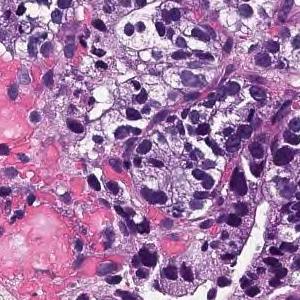
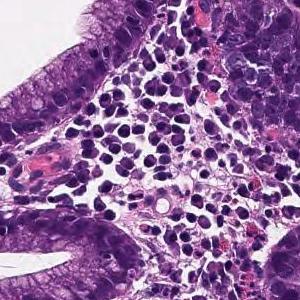
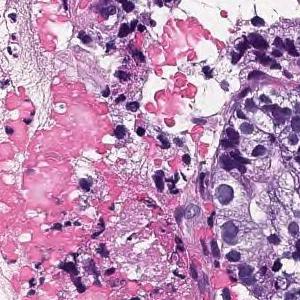
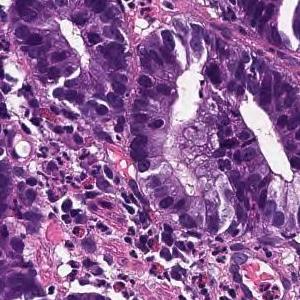
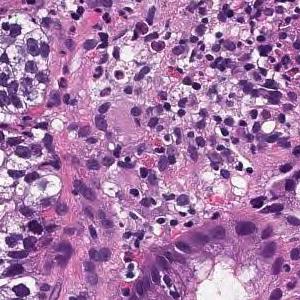
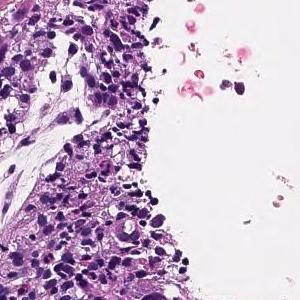
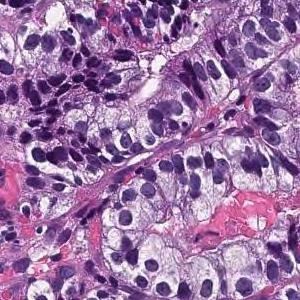
7 tiles cut from one stomach biopsy slide, 300×300 px each, H&E stain.
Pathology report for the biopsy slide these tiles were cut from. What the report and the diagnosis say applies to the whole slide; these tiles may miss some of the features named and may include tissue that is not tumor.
From the superficial epithelium to the muscularis mucosae, tumor tissue consisting of medium-sized and irregular glandular ducts infiltrating is observed. Well differentiated tubular adenocarcinoma
